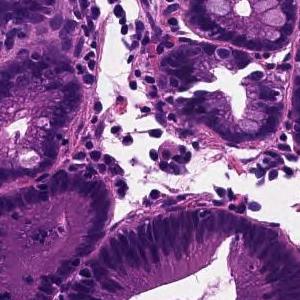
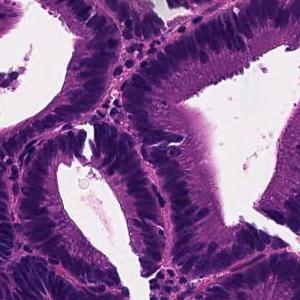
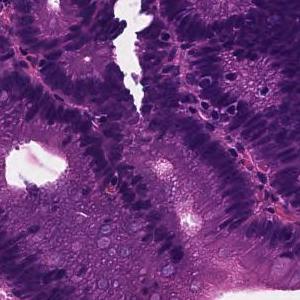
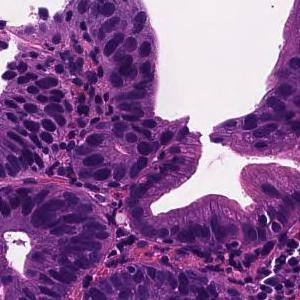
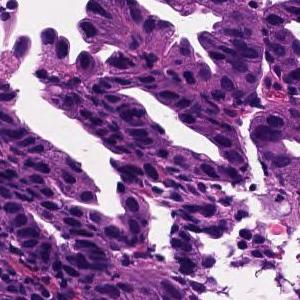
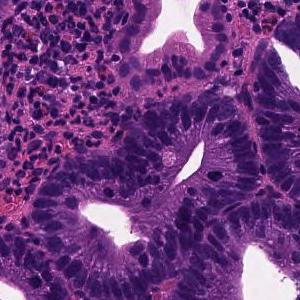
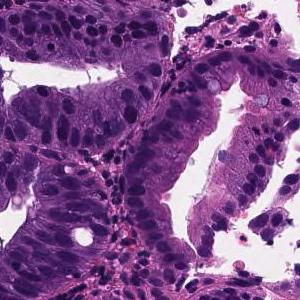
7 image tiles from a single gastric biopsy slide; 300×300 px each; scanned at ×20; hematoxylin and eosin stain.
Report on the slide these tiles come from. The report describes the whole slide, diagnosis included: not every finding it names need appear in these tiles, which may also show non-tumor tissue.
Tumor tissue in which medium to small irregular ducts infiltrate and proliferate in the submucosa can be seen in the epithelium. Well differentiated tubular adenocarcinoma
